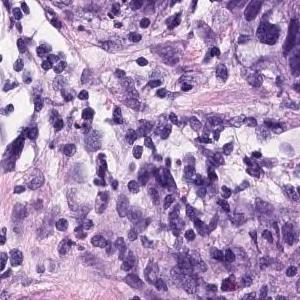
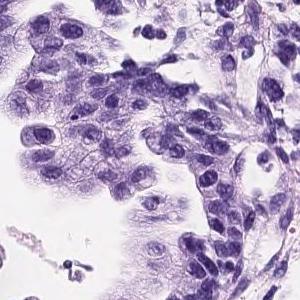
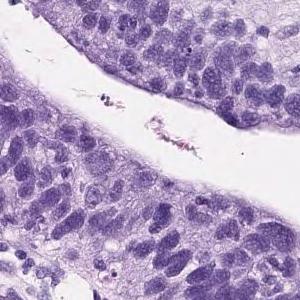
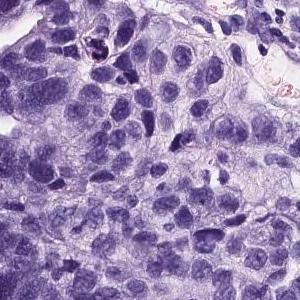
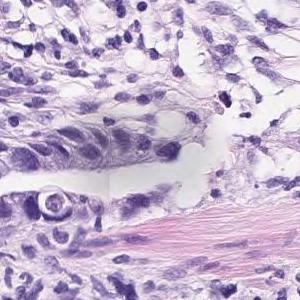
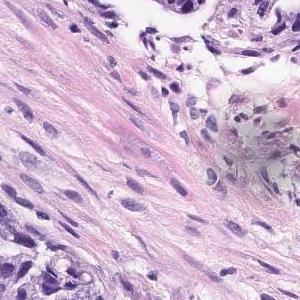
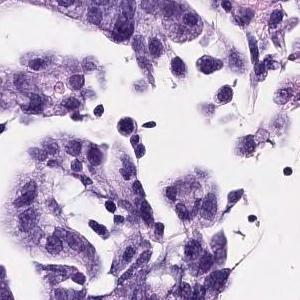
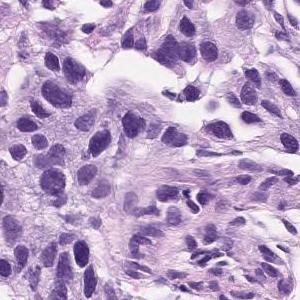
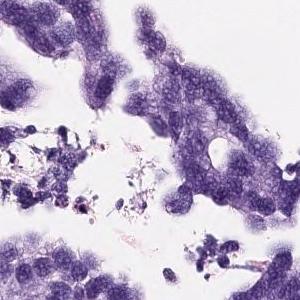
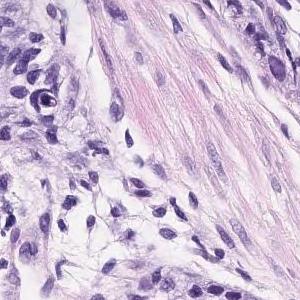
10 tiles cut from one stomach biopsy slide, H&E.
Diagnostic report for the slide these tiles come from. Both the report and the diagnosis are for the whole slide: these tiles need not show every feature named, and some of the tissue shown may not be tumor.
On the superficial epithelium, tumor tissue consisting of medium to small irregular tubules partially fused and proliferated is observed. moderately differentiated tubular adenocarcinoma
